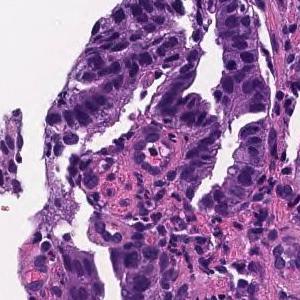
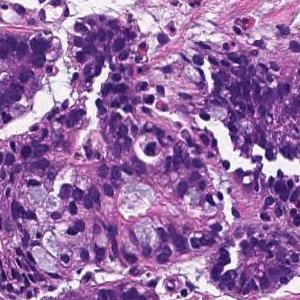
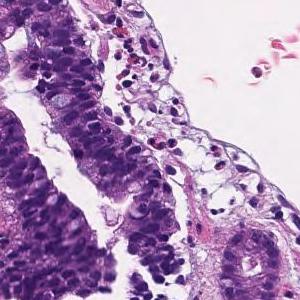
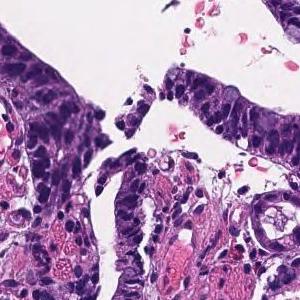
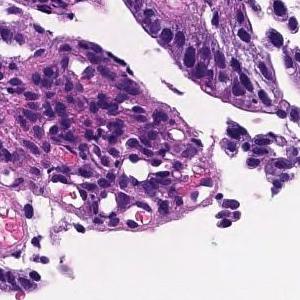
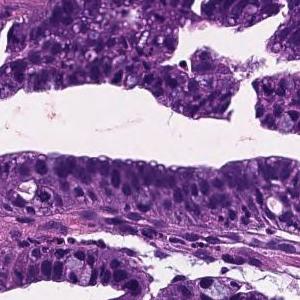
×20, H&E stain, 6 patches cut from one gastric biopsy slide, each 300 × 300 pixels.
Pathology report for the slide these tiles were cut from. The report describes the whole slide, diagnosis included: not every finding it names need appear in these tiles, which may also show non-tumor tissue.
Tumor cells are large, highly columnar, large club-shaped nuclei, and are associated with chromatin aggregation. Papillary adenocarcinoma.
